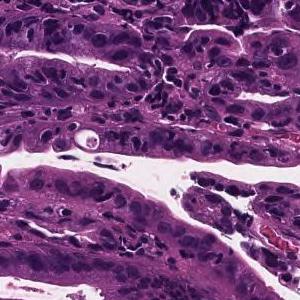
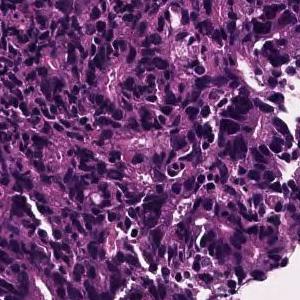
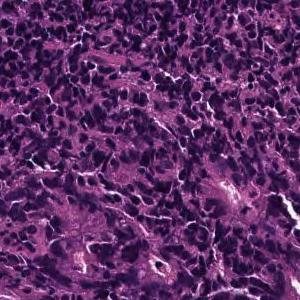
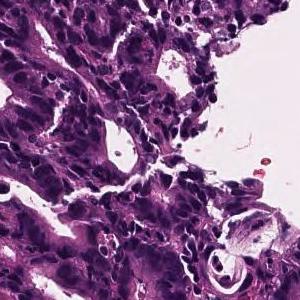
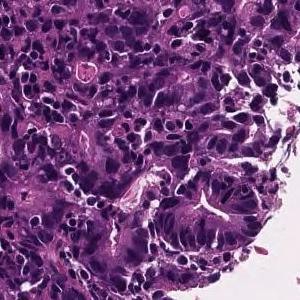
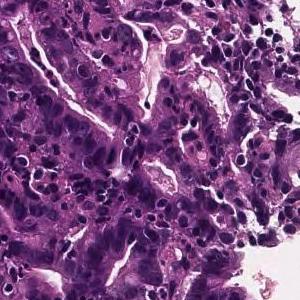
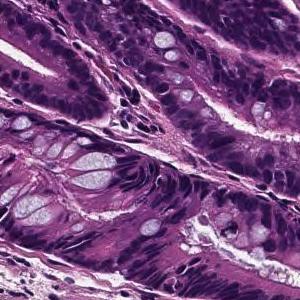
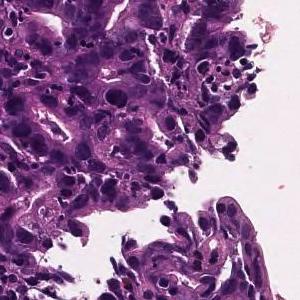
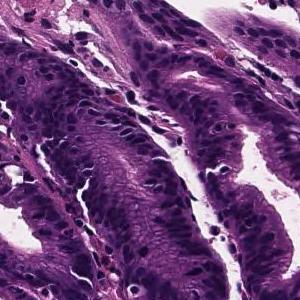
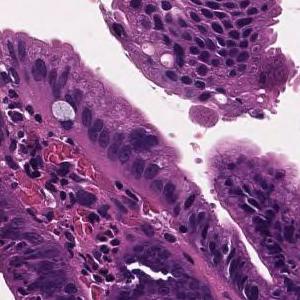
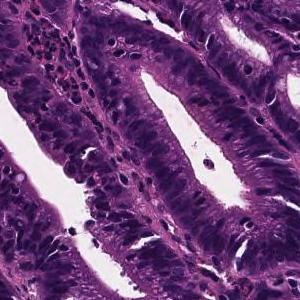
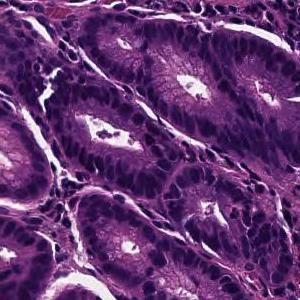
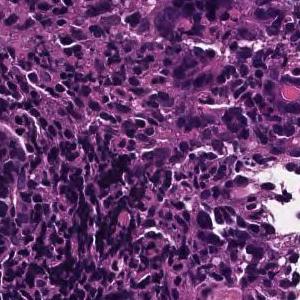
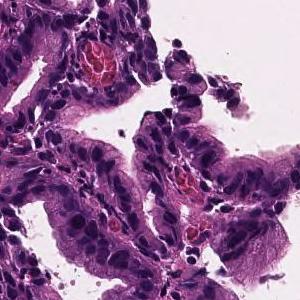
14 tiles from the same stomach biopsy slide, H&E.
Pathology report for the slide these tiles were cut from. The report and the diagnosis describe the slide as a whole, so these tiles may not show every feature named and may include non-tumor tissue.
On the superficial epithelium, tumor tissue consisting of medium-sized irregular glandular ducts partially fused and infiltrated is observed. Well to moderately differentiated tubular adenocarcinoma (well differentiated tubular adenocarcinoma-moderately differentiated tubular adenocarcinoma)
Histologic type: Well to moderately differentiated tubular adenocarcinoma.
